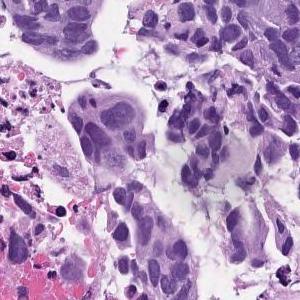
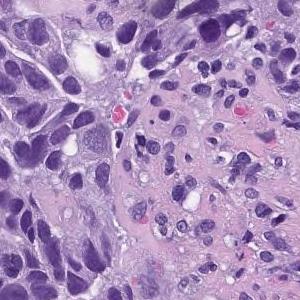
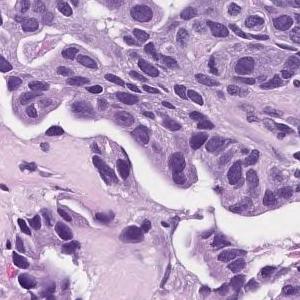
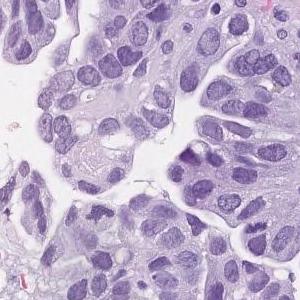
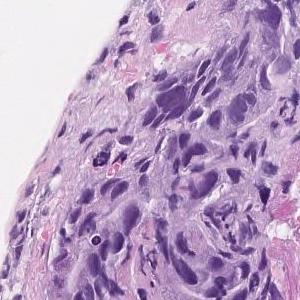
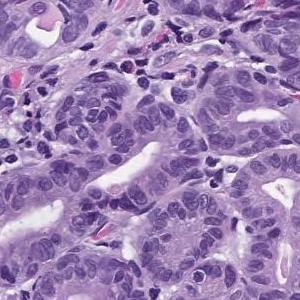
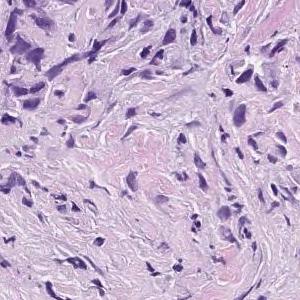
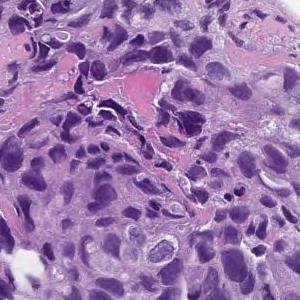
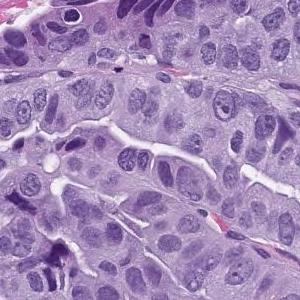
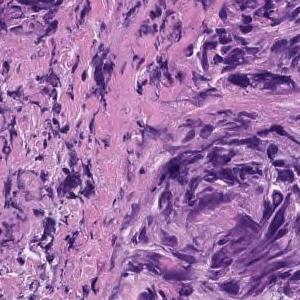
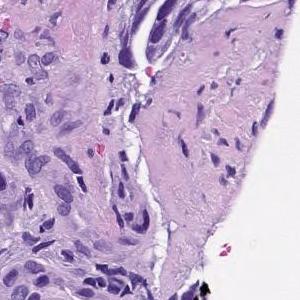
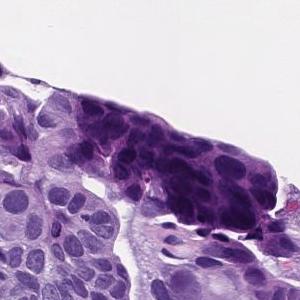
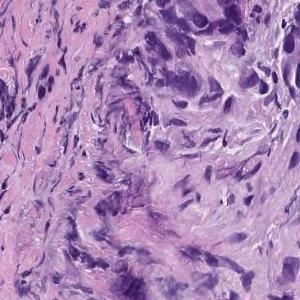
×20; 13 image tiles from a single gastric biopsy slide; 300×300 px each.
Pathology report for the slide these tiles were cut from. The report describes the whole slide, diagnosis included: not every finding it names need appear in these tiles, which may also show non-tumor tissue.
In the superficial epithelium, tumor tissue that invades by forming medium-sized to small, irregular ducts is observed. moderately differentiated tubular adenocarcinoma.
